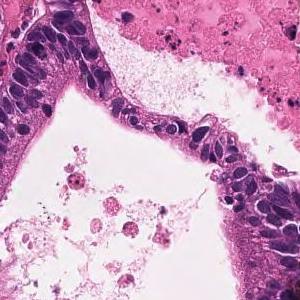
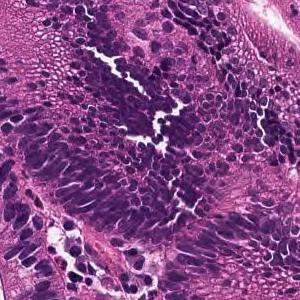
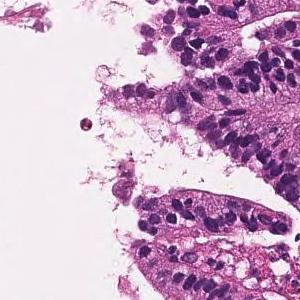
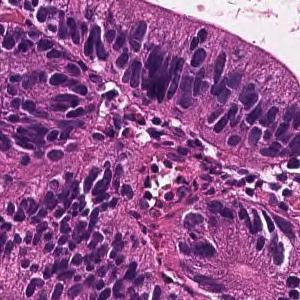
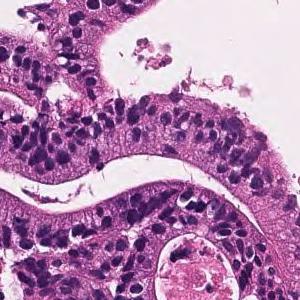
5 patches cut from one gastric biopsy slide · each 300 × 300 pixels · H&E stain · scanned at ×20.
Report on the slide these tiles come from. The report and the diagnosis describe the slide as a whole, so these tiles may not show every feature named and may include non-tumor tissue.
From the superficial epithelium to the muscularis mucosae, tumor tissue infiltrating by forming medium-sized irregular gland ducts is observed. Large tumor cells exhibit large nucleus and hyperchromatism. Well differentiated tubular adenocarcinoma
